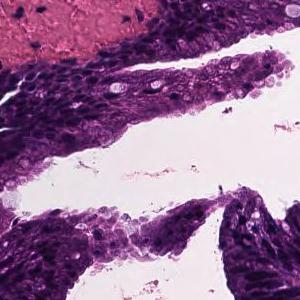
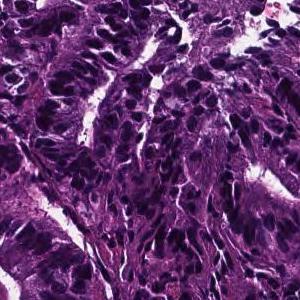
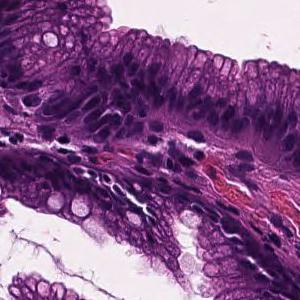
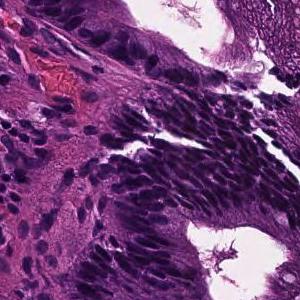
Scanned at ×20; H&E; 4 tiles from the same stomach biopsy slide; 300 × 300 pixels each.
Pathology report for the biopsy slide these tiles were cut from. Both the report and the diagnosis are for the whole slide: these tiles need not show every feature named, and some of the tissue shown may not be tumor.
In the superficial epithelium, tumor tissue that invades by forming medium-sized to small, irregular ducts is observed. Well differentiated tubular adenocarcinoma.
